12 patches cut from one gastric biopsy slide.
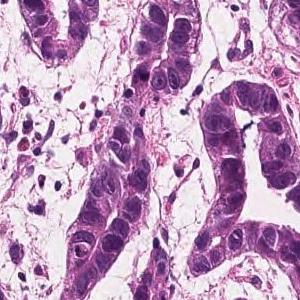
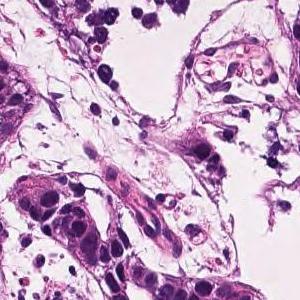
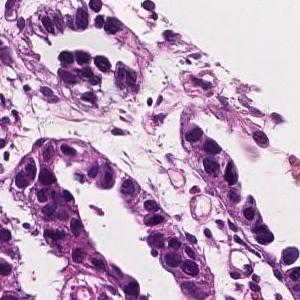
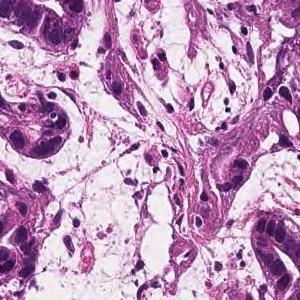
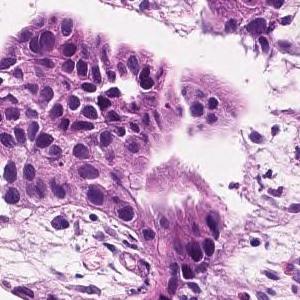
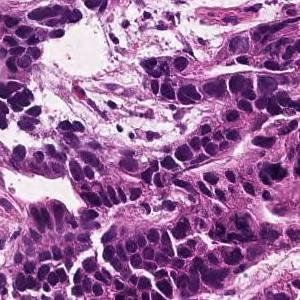
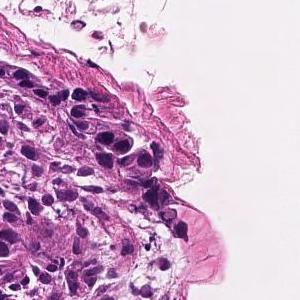
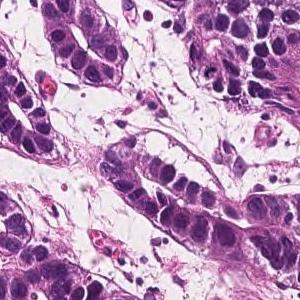
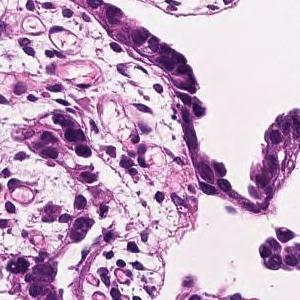
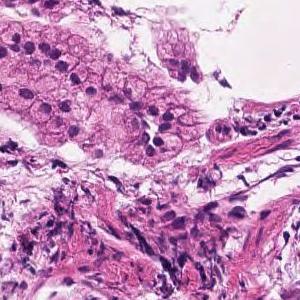
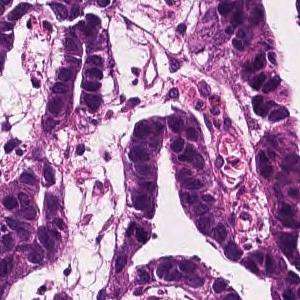
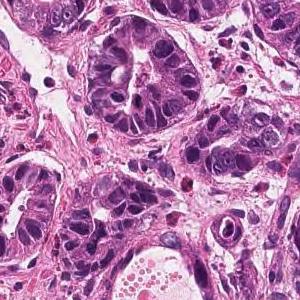
Report on the slide these tiles come from. The findings and the diagnosis refer to the entire slide; these tiles show only part of it, possibly with non-tumor tissue, and may not show every feature named.
In the superficial epithelium, tumor tissue that invades by forming medium-sized to small, irregular ducts is observed. Well differentiated tubular adenocarcinoma.
